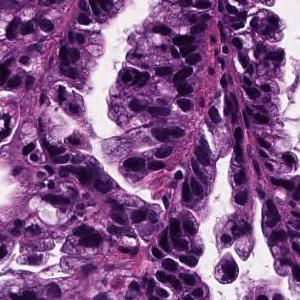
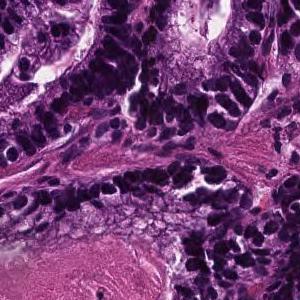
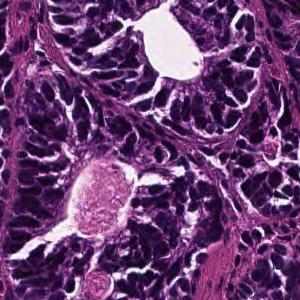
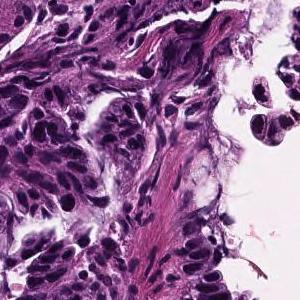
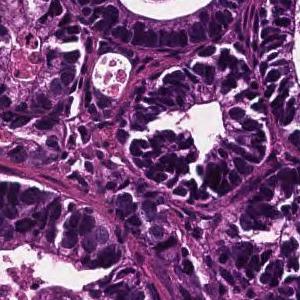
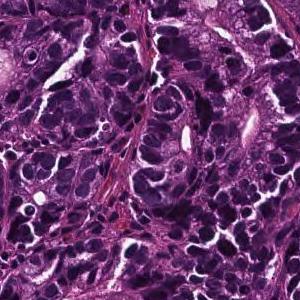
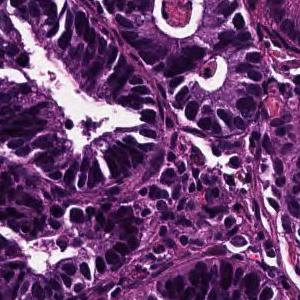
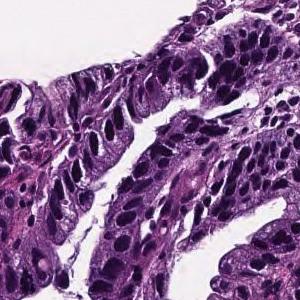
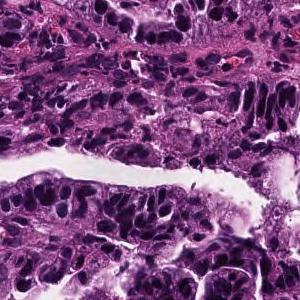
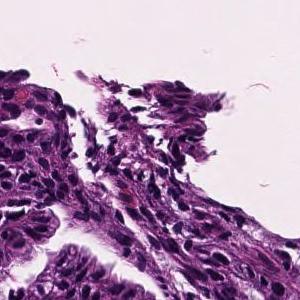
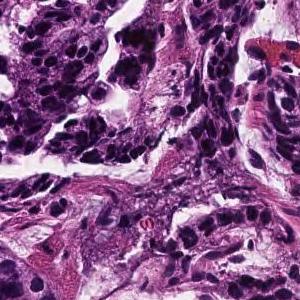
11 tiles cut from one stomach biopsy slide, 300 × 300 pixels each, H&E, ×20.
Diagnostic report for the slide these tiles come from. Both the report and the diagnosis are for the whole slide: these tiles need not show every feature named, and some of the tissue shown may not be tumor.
In the superficial epithelium, tumor tissue that invades by forming medium-sized to small, irregular ducts is observed. Well differentiated tubular adenocarcinoma.
